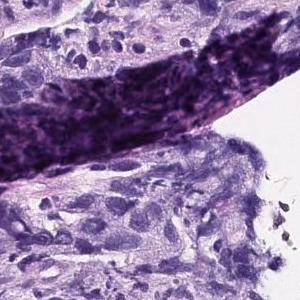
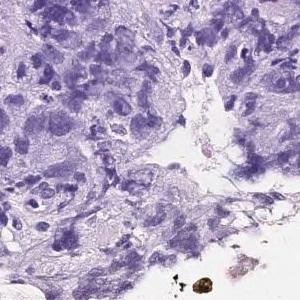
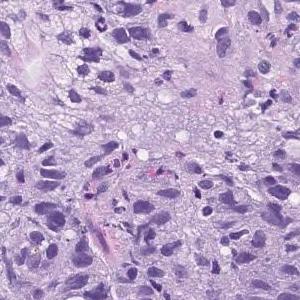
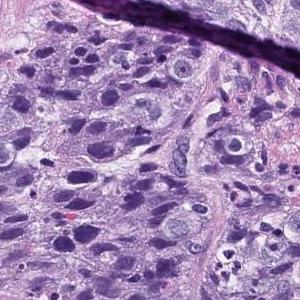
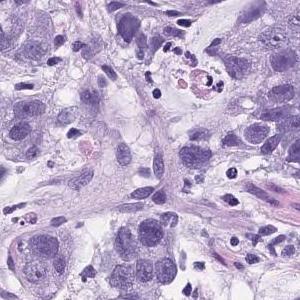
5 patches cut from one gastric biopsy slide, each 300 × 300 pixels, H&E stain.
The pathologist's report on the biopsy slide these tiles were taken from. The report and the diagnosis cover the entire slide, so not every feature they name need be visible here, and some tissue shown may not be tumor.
Atypical l cells with atypical nuclei forming solid vesicles or small irregular atypical ducts that proliferate in a complex manner. poorly differentiated adenocarcinoma, solid type, moderately differentiated tubular adenocarcinoma
The term "solid type" comes from the Japanese Classification of Gastric Carcinoma; the WHO 2019 equivalent is tubular adenocarcinoma, poorly differentiated.
